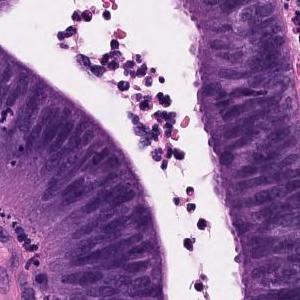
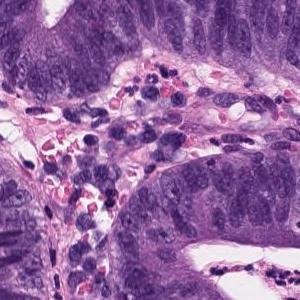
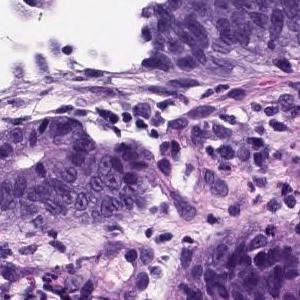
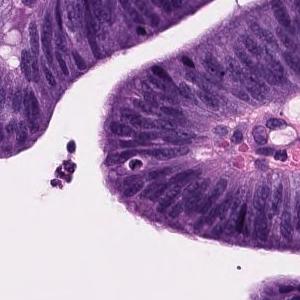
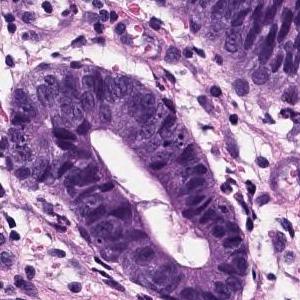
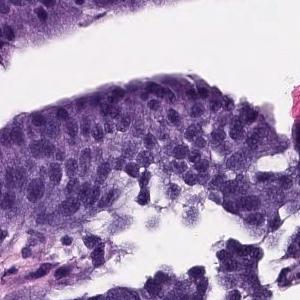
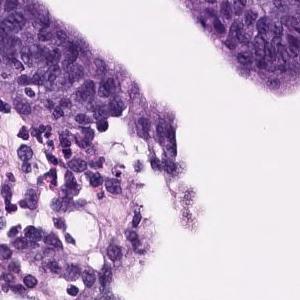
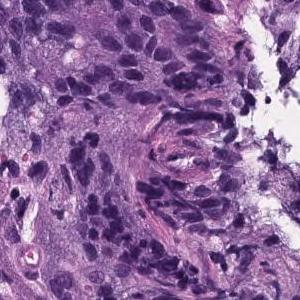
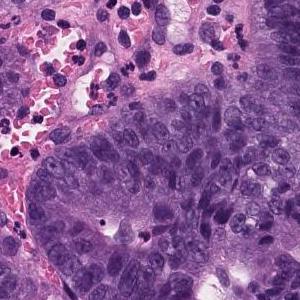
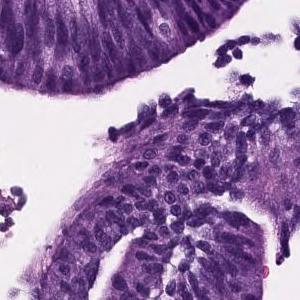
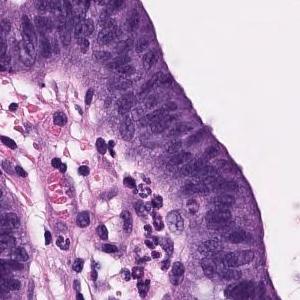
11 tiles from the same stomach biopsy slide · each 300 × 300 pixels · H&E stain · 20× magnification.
Report on the slide these tiles come from. The report describes the whole slide, diagnosis included: not every finding it names need appear in these tiles, which may also show non-tumor tissue.
Papillo-tubular growth of atypical tubules with nuclear swelling is observed. Well differentiated tubular adenocarcinoma
